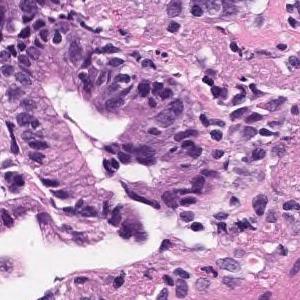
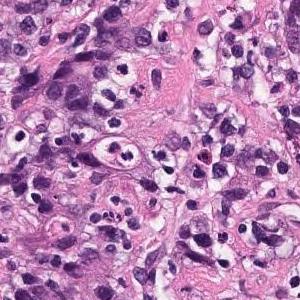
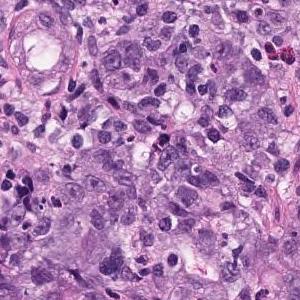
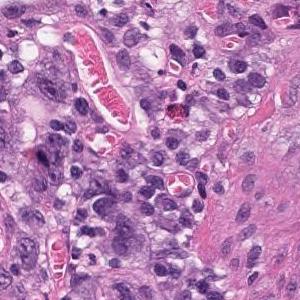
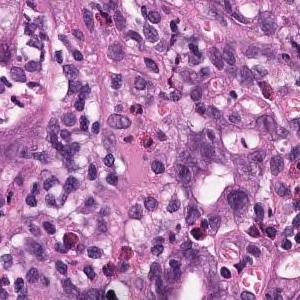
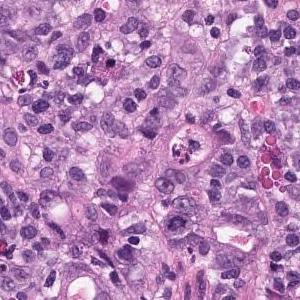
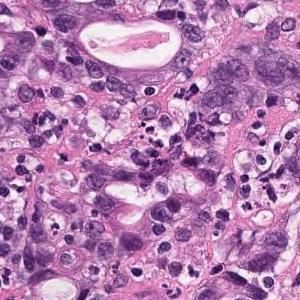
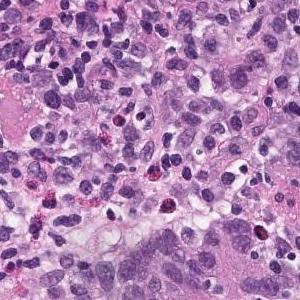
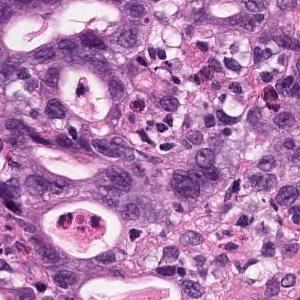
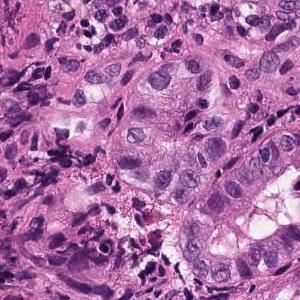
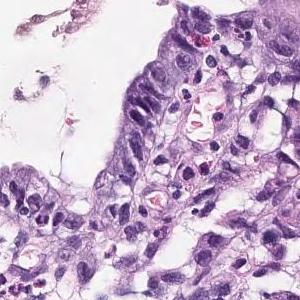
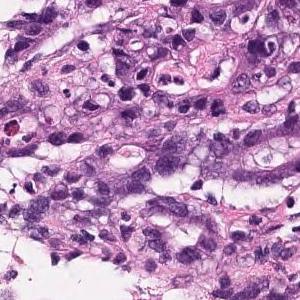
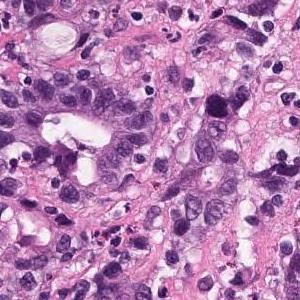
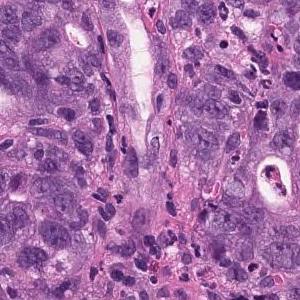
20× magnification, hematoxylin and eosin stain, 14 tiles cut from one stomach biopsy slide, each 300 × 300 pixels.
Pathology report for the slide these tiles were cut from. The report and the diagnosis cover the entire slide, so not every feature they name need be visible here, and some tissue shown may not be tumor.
Atypical ducts proliferating with obscure duct construction and solid sequences is observed. Moderately to poorly differentiated adenocarcinoma.
